H&E · scanned at ×20 · 7 tiles cut from one stomach biopsy slide · each 300 × 300 pixels.
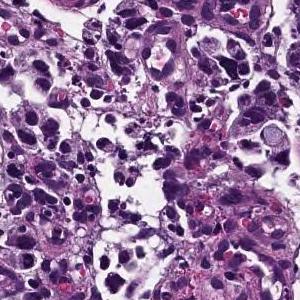
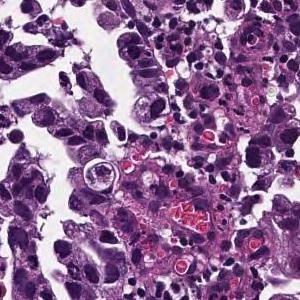
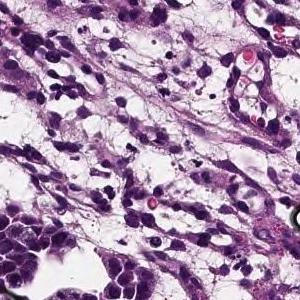
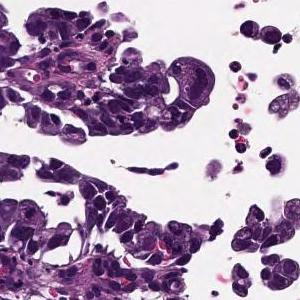
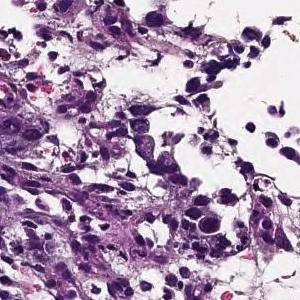
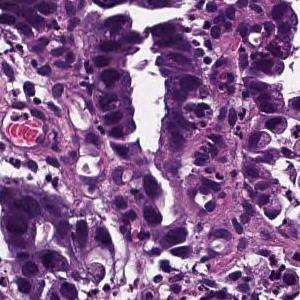
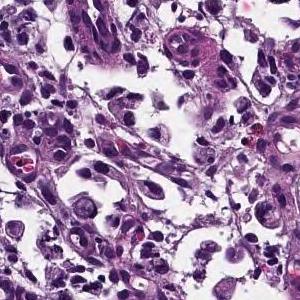
Diagnostic report for the slide these tiles come from. The report describes the whole slide, diagnosis included: not every finding it names need appear in these tiles, which may also show non-tumor tissue.
Medium to small, irregular glandular ducts are formed in the superficial epithelium, and in some cases, the glandular ducts are fused to show solid alveolar lesions and infiltrating tumor tissue is observed. Moderately to poorly differentiated adenocarcinoma.
